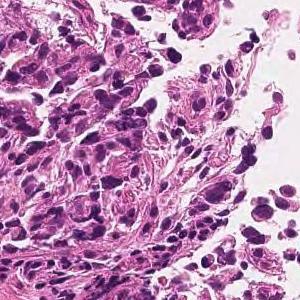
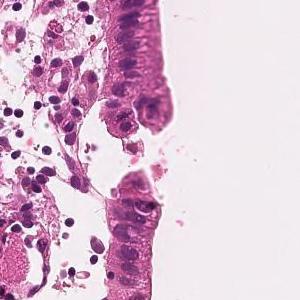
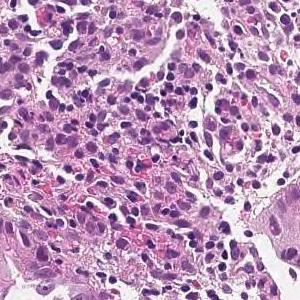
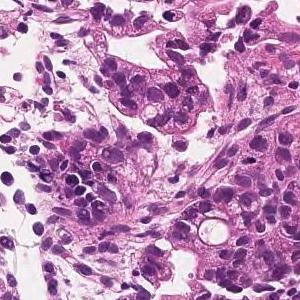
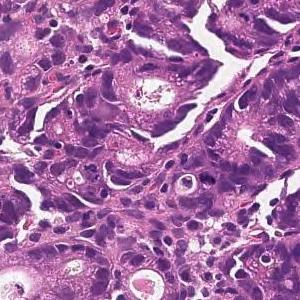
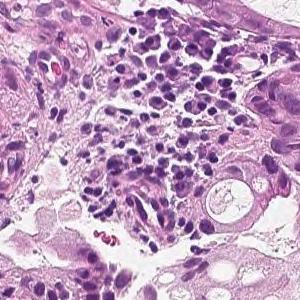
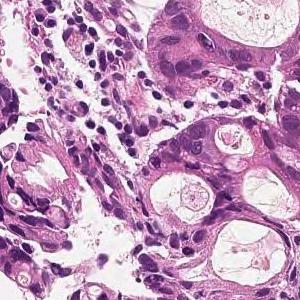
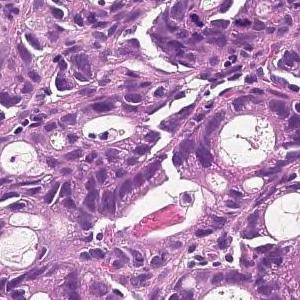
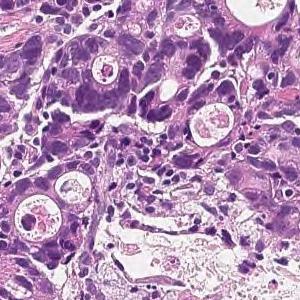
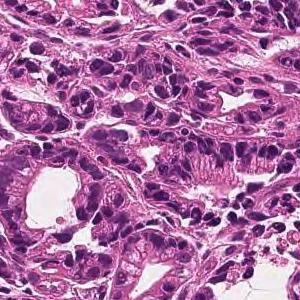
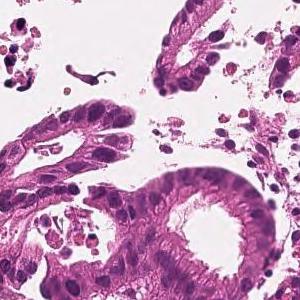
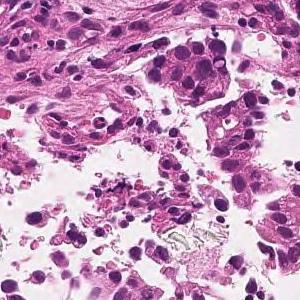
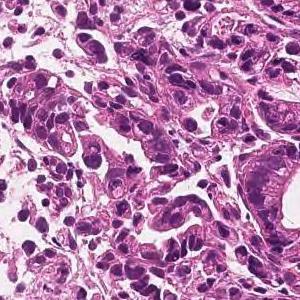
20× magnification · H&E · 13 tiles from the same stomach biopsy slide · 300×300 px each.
The pathologist's report on the biopsy slide these tiles were taken from. The findings and the diagnosis refer to the entire slide; these tiles show only part of it, possibly with non-tumor tissue, and may not show every feature named.
On the superficial epithelium, tumor tissue is found in which medium-sized irregular gland ducts fuse with each other and infiltrate. moderately differentiated tubular adenocarcinoma
